Hematoxylin and eosin stain; 20× magnification; 5 tiles from the same stomach biopsy slide.
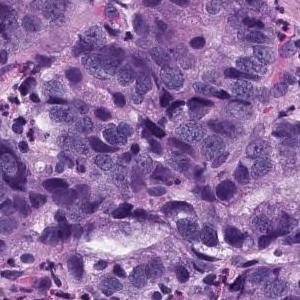
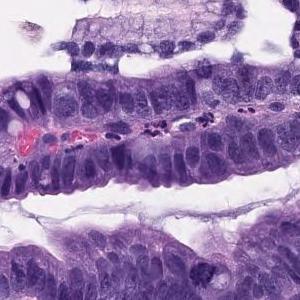
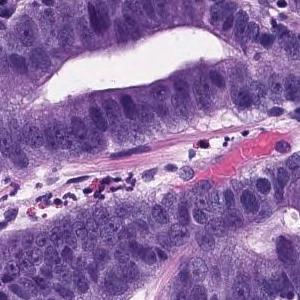
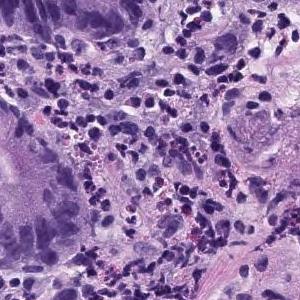
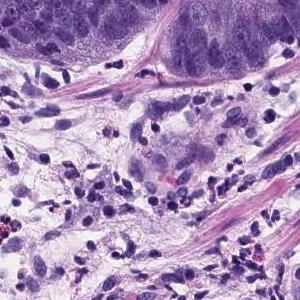
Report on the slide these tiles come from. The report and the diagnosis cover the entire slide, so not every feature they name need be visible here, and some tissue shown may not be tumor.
Tumor tissue consisting of large papillary structures is found in the superficial epithelium. Papillary adenocarcinoma.
